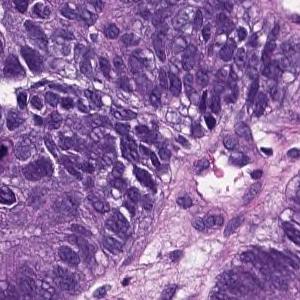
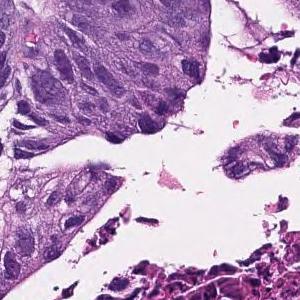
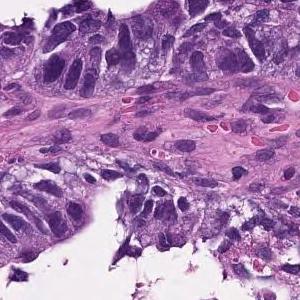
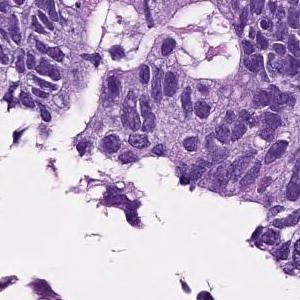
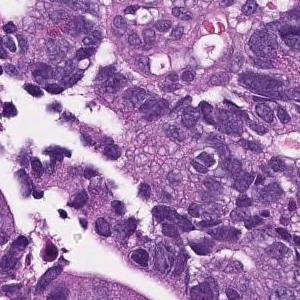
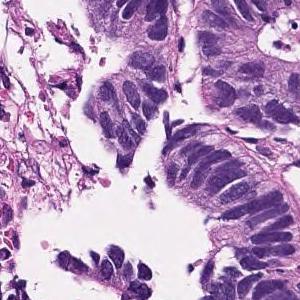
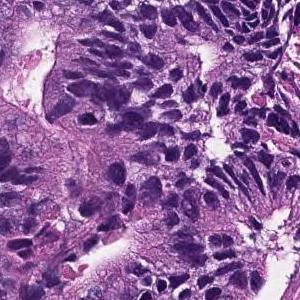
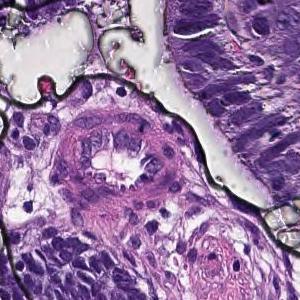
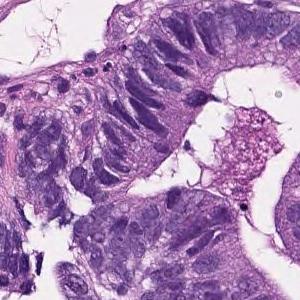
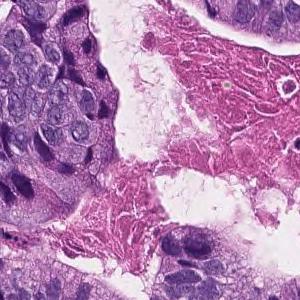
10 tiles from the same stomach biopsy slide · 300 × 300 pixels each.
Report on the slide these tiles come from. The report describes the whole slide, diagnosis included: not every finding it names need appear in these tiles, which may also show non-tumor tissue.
In the superficial epithelium, tumor tissue that invades by forming medium-sized to small, irregular ducts is observed. moderately differentiated tubular adenocarcinoma.
